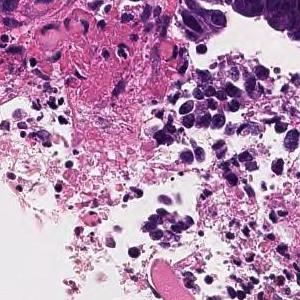
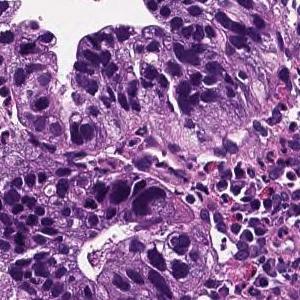
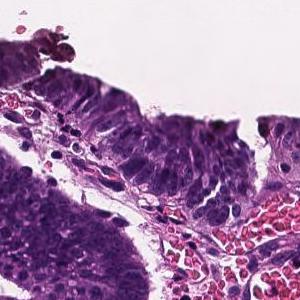
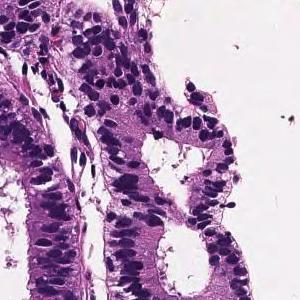
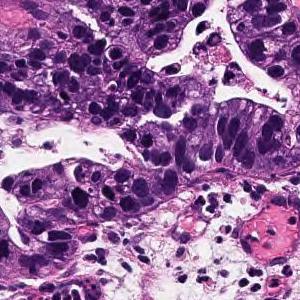
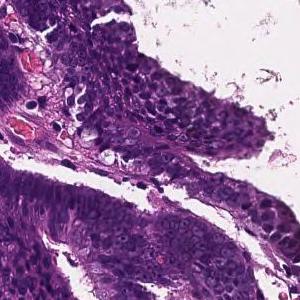
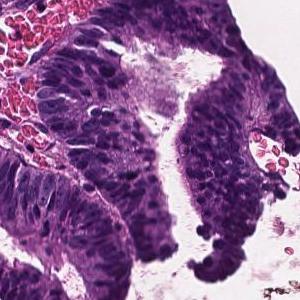
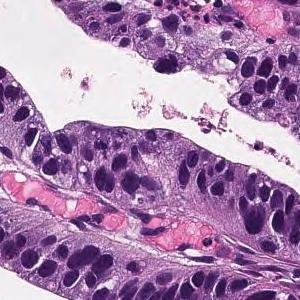
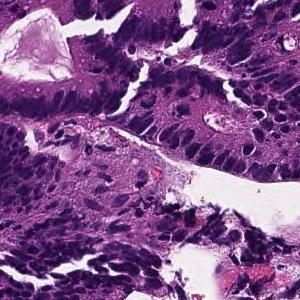
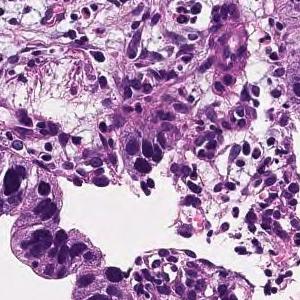
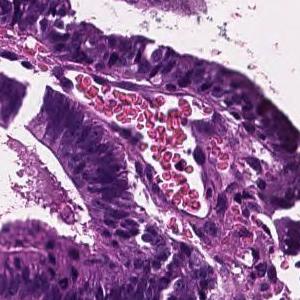
×20; hematoxylin and eosin stain; 11 tiles cut from one stomach biopsy slide; 300×300 px each.
The pathologist's report on the biopsy slide these tiles were taken from. The report and the diagnosis describe the slide as a whole, so these tiles may not show every feature named and may include non-tumor tissue.
Tumor tissue consisting of large papillary structures is found in the superficial epithelium. Papillary adenocarcinoma.
